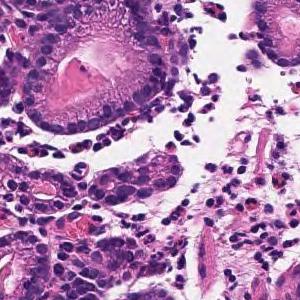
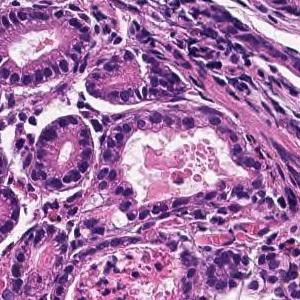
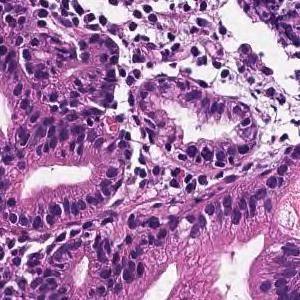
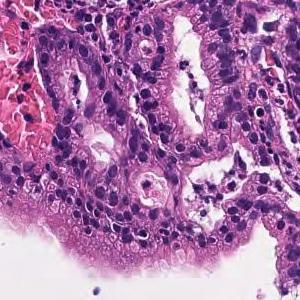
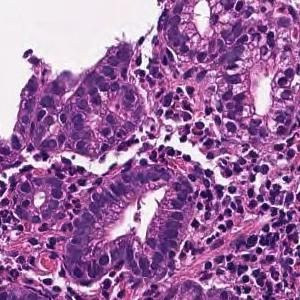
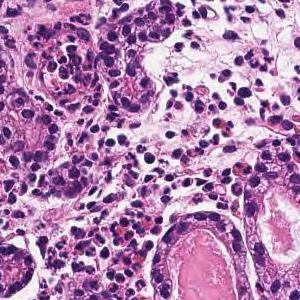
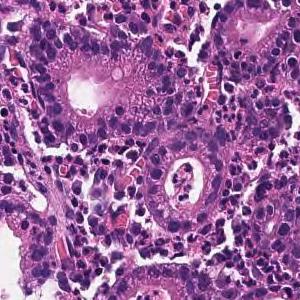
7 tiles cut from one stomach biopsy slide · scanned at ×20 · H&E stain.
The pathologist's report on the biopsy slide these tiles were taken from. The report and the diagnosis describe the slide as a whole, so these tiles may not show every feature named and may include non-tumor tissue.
Tumor tissue infiltrated and proliferated with small to medium-sized irregular tubules is observed in the superficial epithelium. Well differentiated tubular adenocarcinoma
